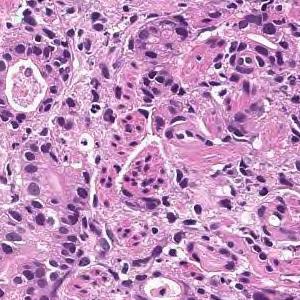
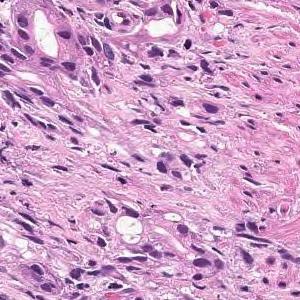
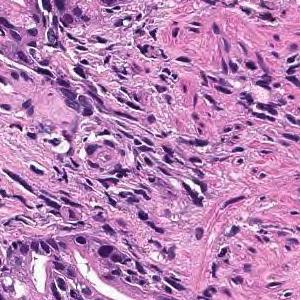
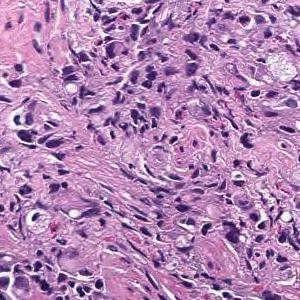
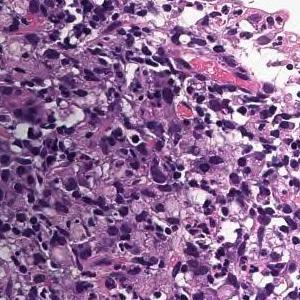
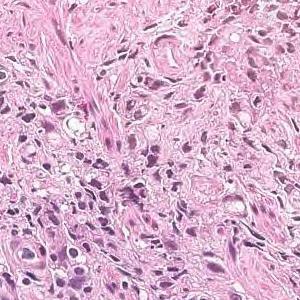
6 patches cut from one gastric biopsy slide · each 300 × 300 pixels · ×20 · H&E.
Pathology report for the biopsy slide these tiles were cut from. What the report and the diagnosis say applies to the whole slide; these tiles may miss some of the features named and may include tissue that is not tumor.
Tumor tissue consisting of cord-like or small, irregular glandular ducts fused and infiltrated is observed in the superficial epithelium. Poorly differentiated adenocarcinoma, non-solid type
The non-solid type named here is a Japanese Classification of Gastric Carcinoma category.
